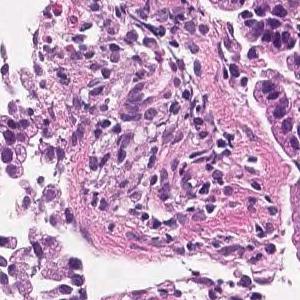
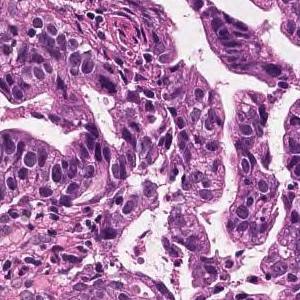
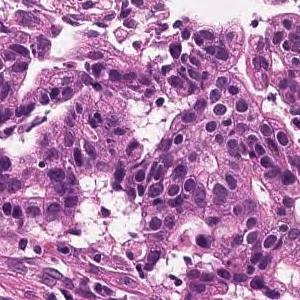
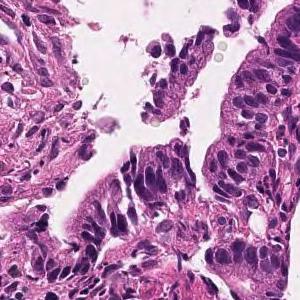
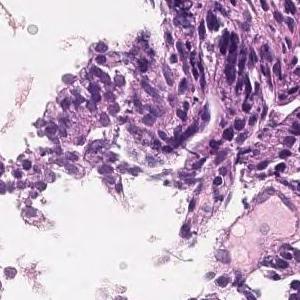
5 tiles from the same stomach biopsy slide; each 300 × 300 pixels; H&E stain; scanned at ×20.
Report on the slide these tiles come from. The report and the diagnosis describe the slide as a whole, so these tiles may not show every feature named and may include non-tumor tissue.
Tumor cells are large, highly columnar, large club-shaped nuclei, and are associated with chromatin aggregation. Papillary adenocarcinoma.
